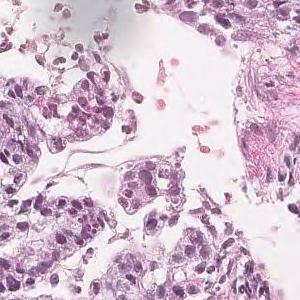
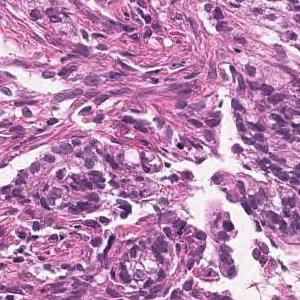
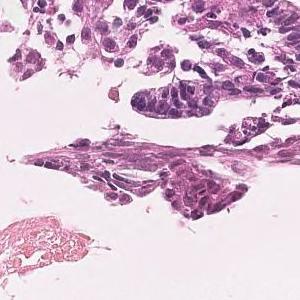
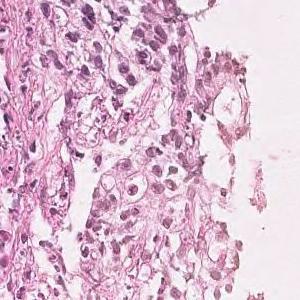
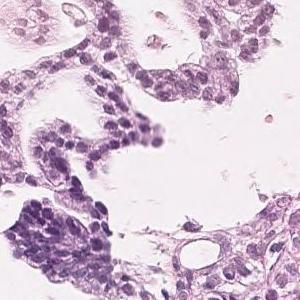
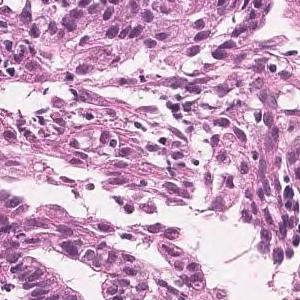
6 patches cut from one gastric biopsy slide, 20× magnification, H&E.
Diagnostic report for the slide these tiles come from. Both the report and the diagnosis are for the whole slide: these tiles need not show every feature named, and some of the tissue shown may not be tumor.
Tumor tissue in which highly columnar atypical epithelial cells with nuclear enlargement and increased nuclear chromatin show papillary to papillary ductal structure and proliferate is observed. Papillary adenocarcinoma.
